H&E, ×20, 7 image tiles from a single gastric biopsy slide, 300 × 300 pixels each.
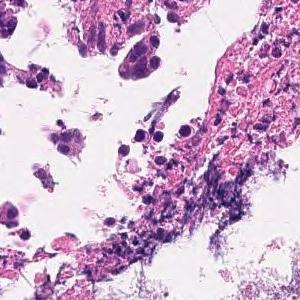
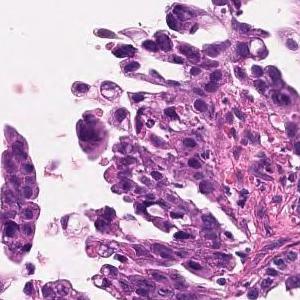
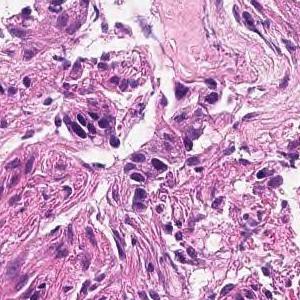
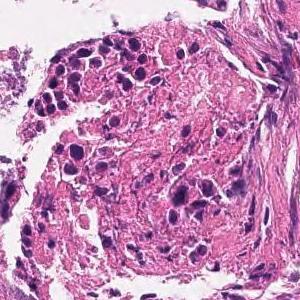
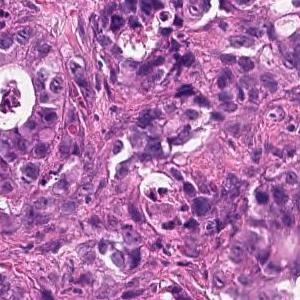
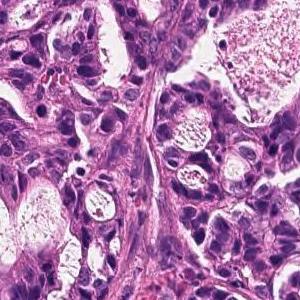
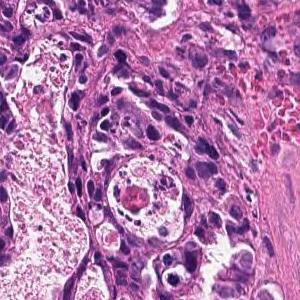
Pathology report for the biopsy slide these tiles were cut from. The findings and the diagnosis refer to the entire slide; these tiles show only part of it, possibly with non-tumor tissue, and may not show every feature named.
On the superficial epithelium, tumor tissue consisting of images of small to medium-sized and irregular tubules infiltrating with irregular fusion is observed. moderately differentiated tubular adenocarcinoma
